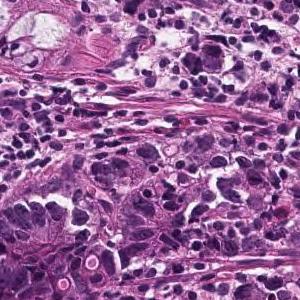
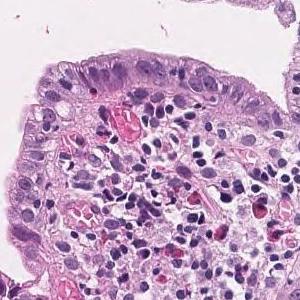
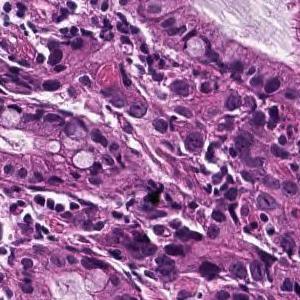
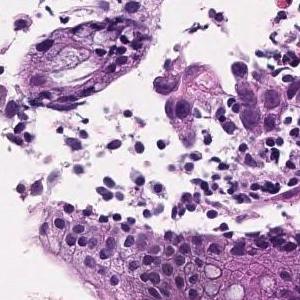
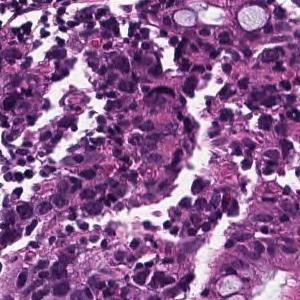
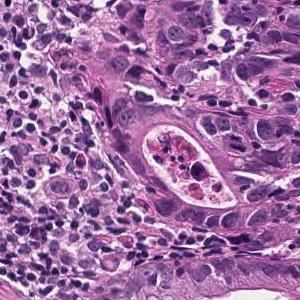
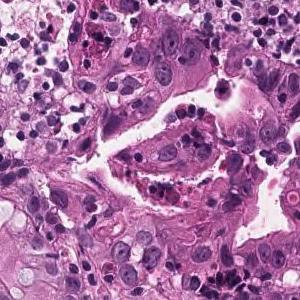
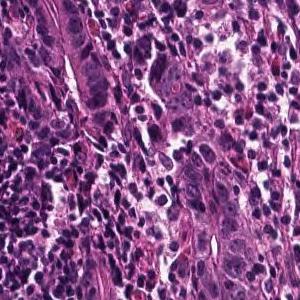
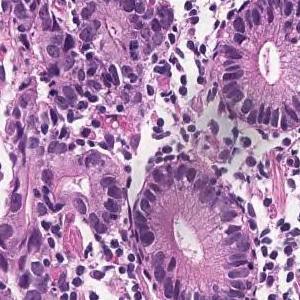
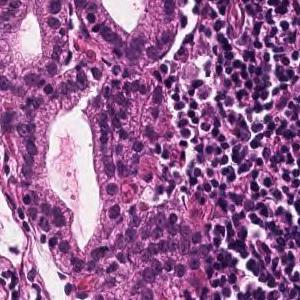
H&E; ×20; 10 image tiles from a single gastric biopsy slide; 300 × 300 pixels each.
Pathology report for the slide these tiles were cut from. The report describes the whole slide, diagnosis included: not every finding it names need appear in these tiles, which may also show non-tumor tissue.
Tumor tissue consisting of medium-sized, cord-like or irregular glandular infiltration is observed in the superficial epithelium. Poorly differentiated adenocarcinoma, non-solid type or moderately differentiated tubular adenocarcinoma
Subtype: Moderately to poorly differentiated adenocarcinoma.
The term "non-solid type" comes from the Japanese Classification of Gastric Carcinoma.
